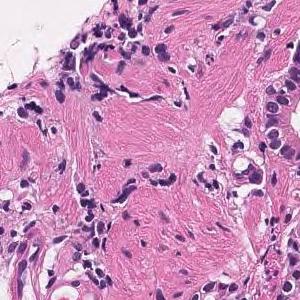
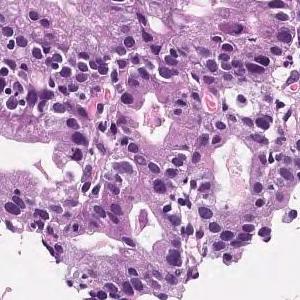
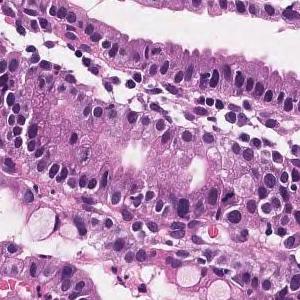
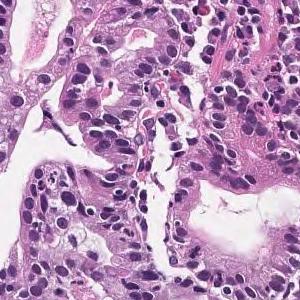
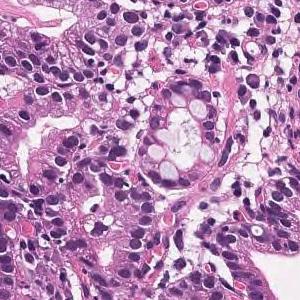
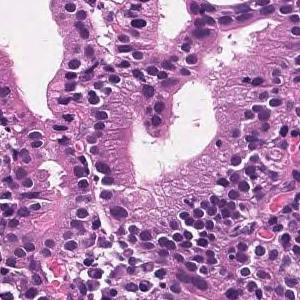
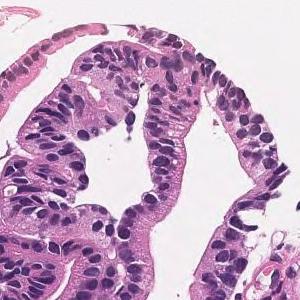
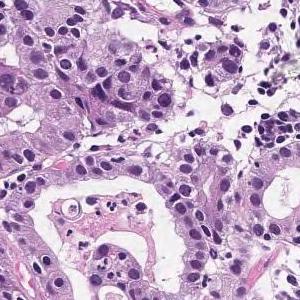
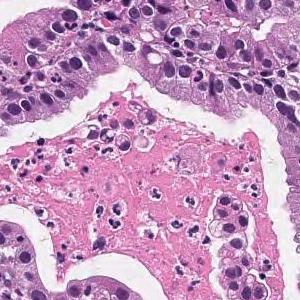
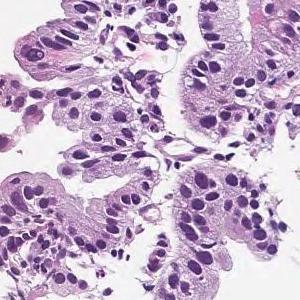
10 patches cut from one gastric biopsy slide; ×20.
The pathologist's report on the biopsy slide these tiles were taken from. The report and the diagnosis describe the slide as a whole, so these tiles may not show every feature named and may include non-tumor tissue.
Medium to small, irregular glandular ducts are formed in the superficial epithelium, and in some cases, the glandular ducts are fused to show solid alveolar lesions and infiltrating tumor tissue is observed. Moderately to poorly differentiated adenocarcinoma.
